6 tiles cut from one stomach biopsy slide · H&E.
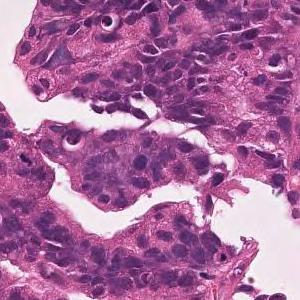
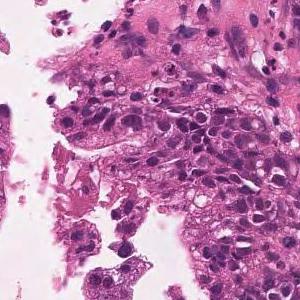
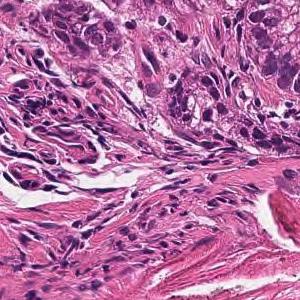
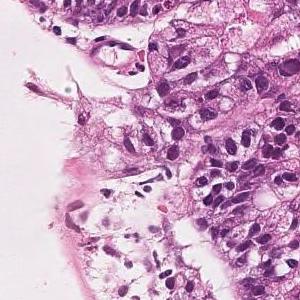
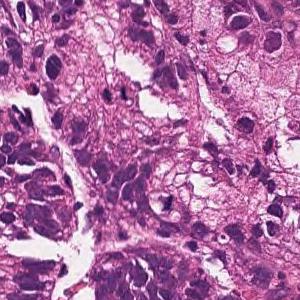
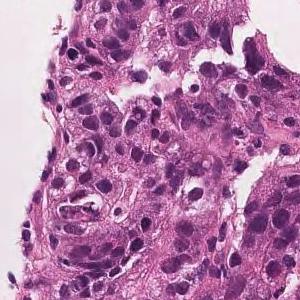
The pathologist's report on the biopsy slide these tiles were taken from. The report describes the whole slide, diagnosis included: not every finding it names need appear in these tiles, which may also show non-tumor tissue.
On the superficial epithelium, tumor tissue consisting of large, irregular glandular ducts partially fused and infiltrated is observed. Well to moderately differentiated tubular adenocarcinoma (well differentiated tubular adenocarcinoma, moderately differentiated tubular adenocarcinoma)
Histological subtype: Well to moderately differentiated tubular adenocarcinoma.
